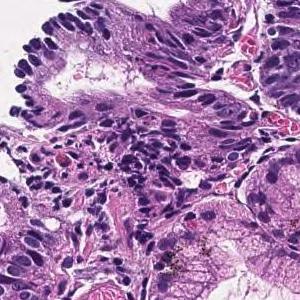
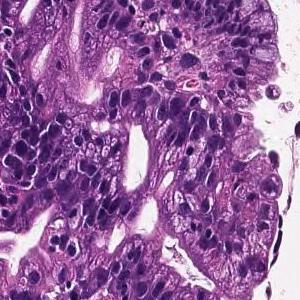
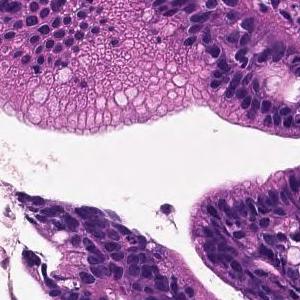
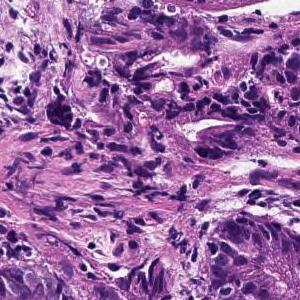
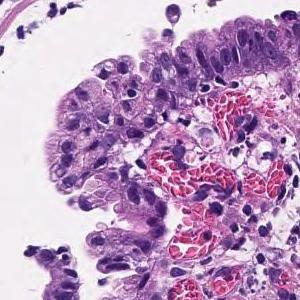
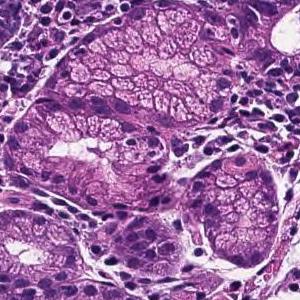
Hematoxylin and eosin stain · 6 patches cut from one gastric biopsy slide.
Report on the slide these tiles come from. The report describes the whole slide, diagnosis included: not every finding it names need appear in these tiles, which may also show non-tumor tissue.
From the superficial epithelium to the muscularis mucosae, tumor tissue consisting of medium-sized and irregular glandular ducts infiltrating is observed. Well differentiated tubular adenocarcinoma
